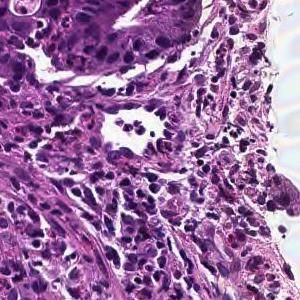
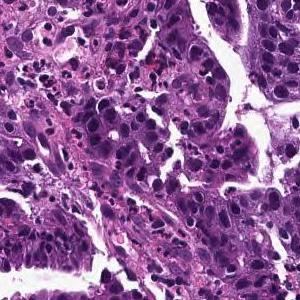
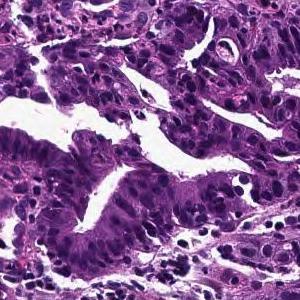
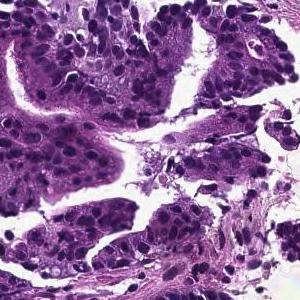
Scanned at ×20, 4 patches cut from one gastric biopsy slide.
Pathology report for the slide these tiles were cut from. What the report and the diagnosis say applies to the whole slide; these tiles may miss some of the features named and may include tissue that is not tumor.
Tumor cells are large, highly columnar, large club-shaped nuclei, and are associated with chromatin aggregation. Papillary adenocarcinoma.
